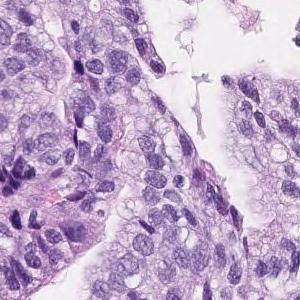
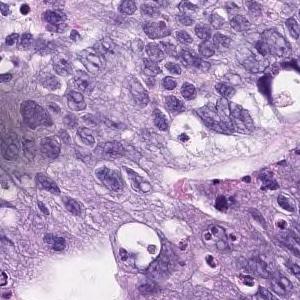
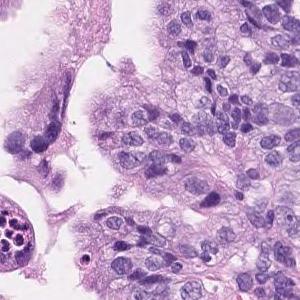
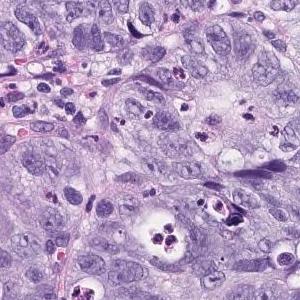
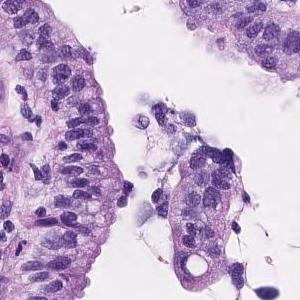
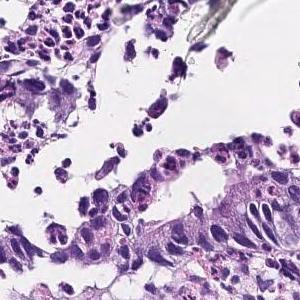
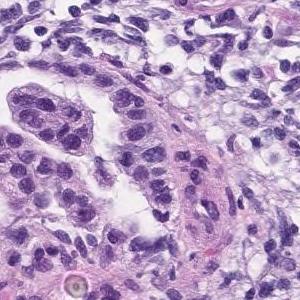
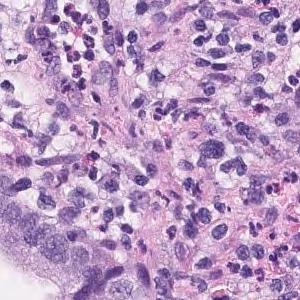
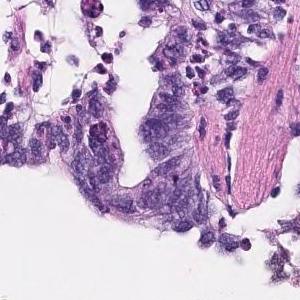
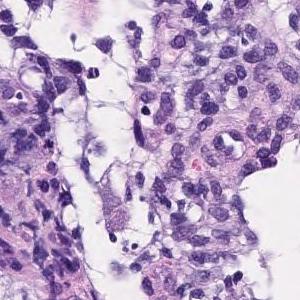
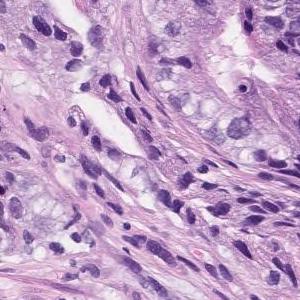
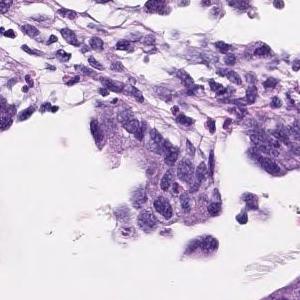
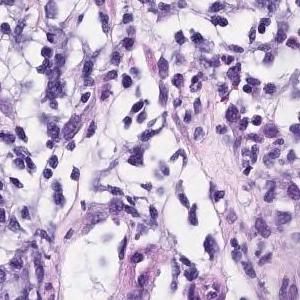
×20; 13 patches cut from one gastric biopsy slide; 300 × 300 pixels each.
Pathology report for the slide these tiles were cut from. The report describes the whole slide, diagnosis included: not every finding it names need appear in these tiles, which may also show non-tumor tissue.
Tumor cells are large, highly columnar, large club-shaped nuclei, and are associated with chromatin aggregation. Papillary adenocarcinoma.
